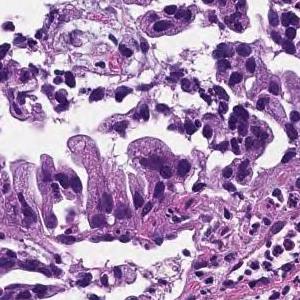
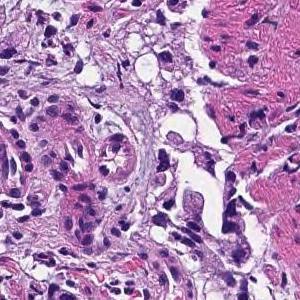
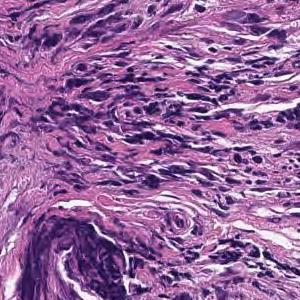
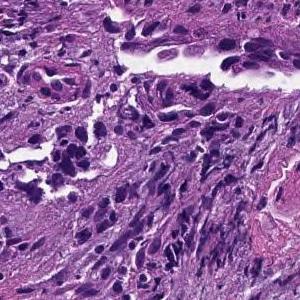
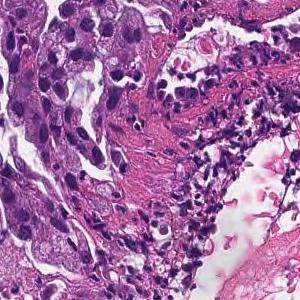
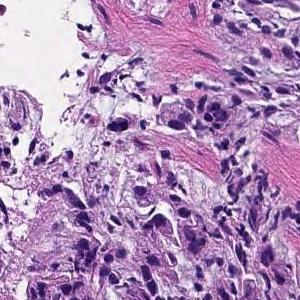
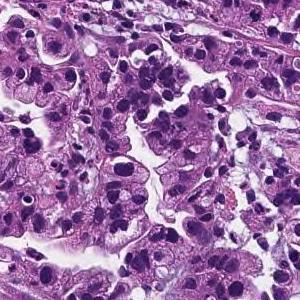
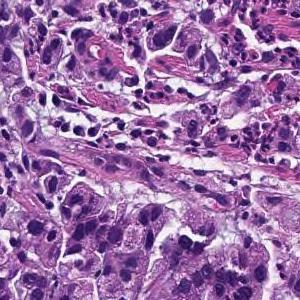
H&E stain · 8 patches cut from one gastric biopsy slide · 300×300 px each.
The pathologist's report on the biopsy slide these tiles were taken from. The report and the diagnosis cover the entire slide, so not every feature they name need be visible here, and some tissue shown may not be tumor.
Tumor tissue consisting of medium-sized, cord-like or irregular glandular infiltration is observed in the superficial epithelium. Poorly differentiated adenocarcinoma, non-solid type or moderately differentiated tubular adenocarcinoma
Classified as moderately to poorly differentiated adenocarcinoma.
The term "non-solid type" comes from the Japanese Classification of Gastric Carcinoma.
